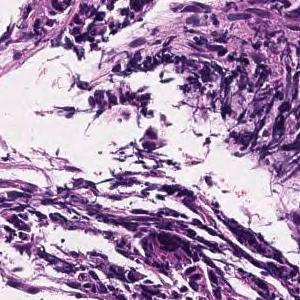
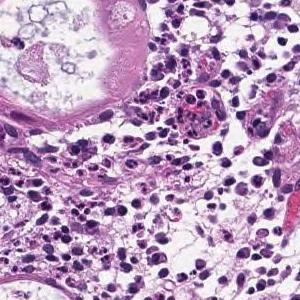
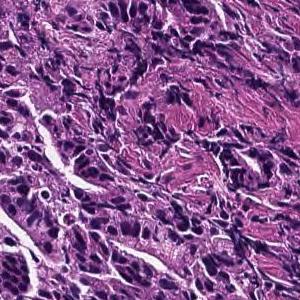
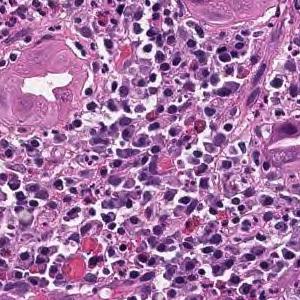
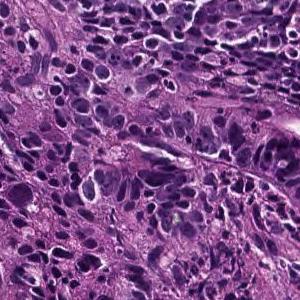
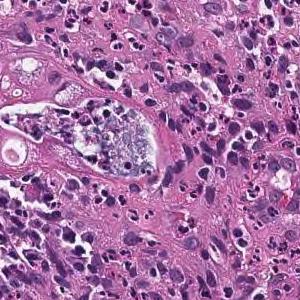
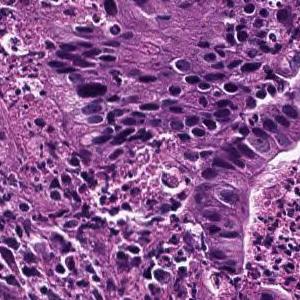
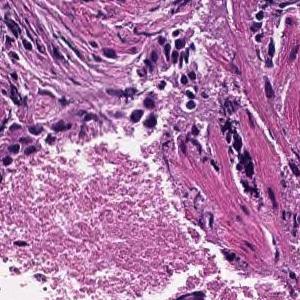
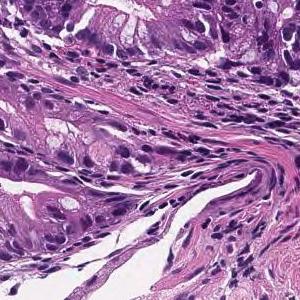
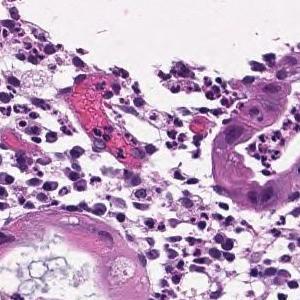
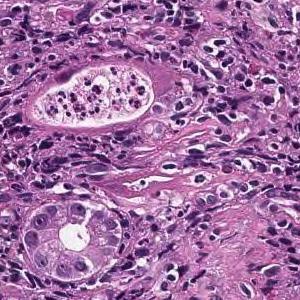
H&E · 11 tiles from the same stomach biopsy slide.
Pathology report for the biopsy slide these tiles were cut from. What the report and the diagnosis say applies to the whole slide; these tiles may miss some of the features named and may include tissue that is not tumor.
On the superficial epithelium, tumor tissue consisting of large, irregular glandular ducts partially fused and infiltrated is observed. Well to moderately differentiated tubular adenocarcinoma (well differentiated tubular adenocarcinoma, moderately differentiated tubular adenocarcinoma)
Histologic type: Well to moderately differentiated tubular adenocarcinoma.
